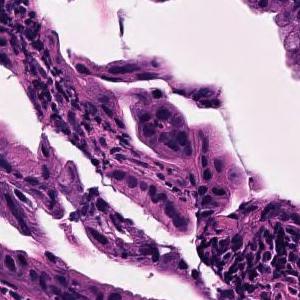
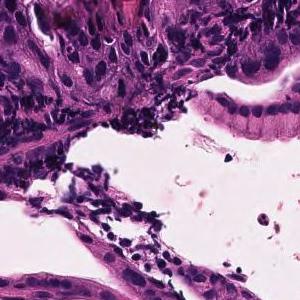
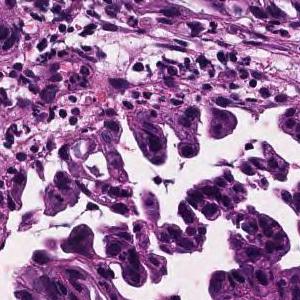
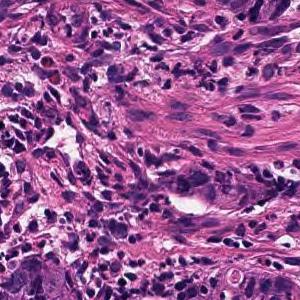
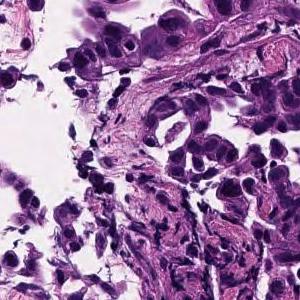
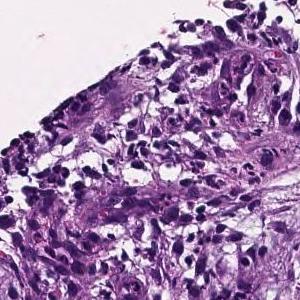
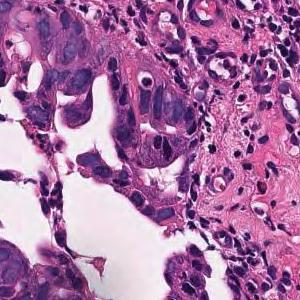
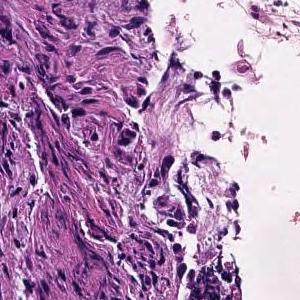
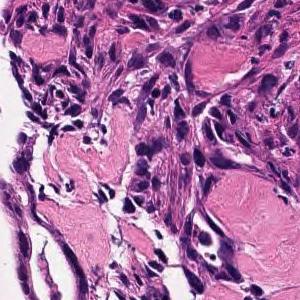
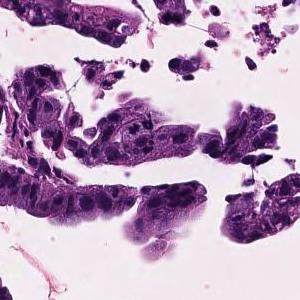
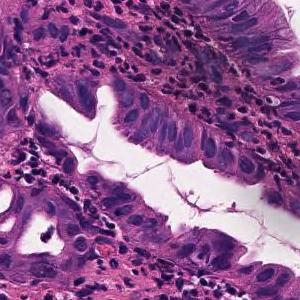
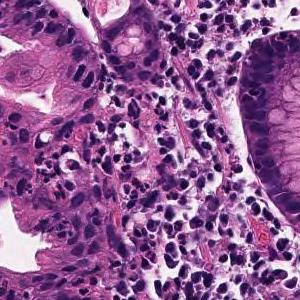
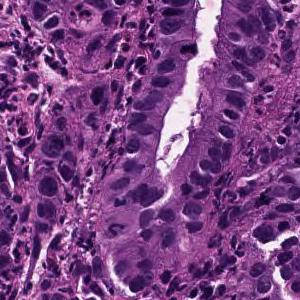
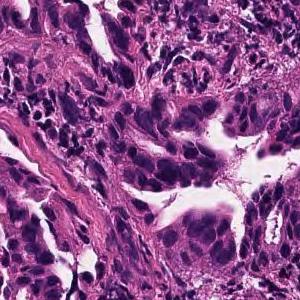
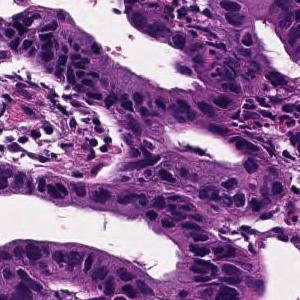
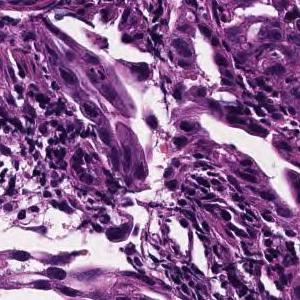
H&E; 16 patches cut from one gastric biopsy slide.
Pathology report for the biopsy slide these tiles were cut from. The findings and the diagnosis refer to the entire slide; these tiles show only part of it, possibly with non-tumor tissue, and may not show every feature named.
In the superficial epithelium, medium-sized to small irregular glandular ducts are formed, and in some cases, the glandular ducts are fused or small cord-like infiltrating tumor tissue is observed. moderately differentiated tubular adenocarcinoma
